20× magnification; hematoxylin and eosin stain; 14 tiles cut from one stomach biopsy slide; 300 × 300 pixels each.
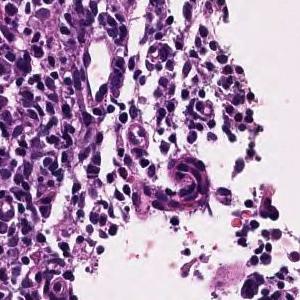
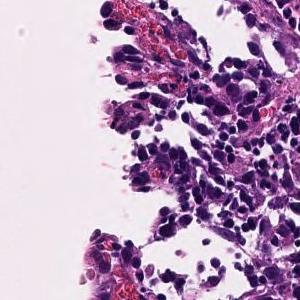
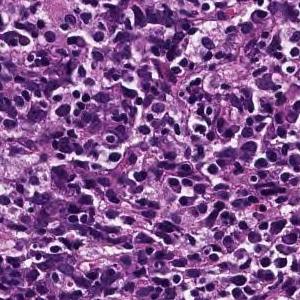
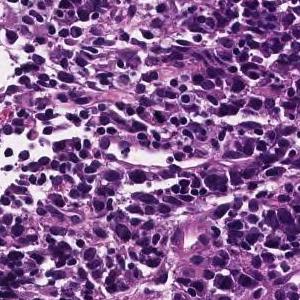
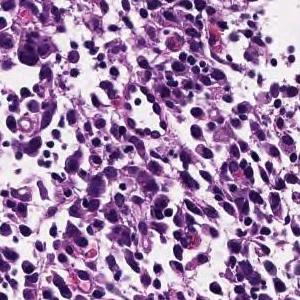
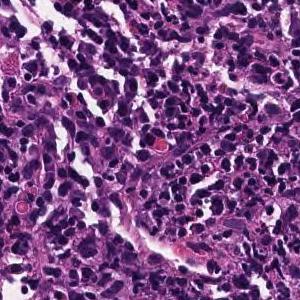
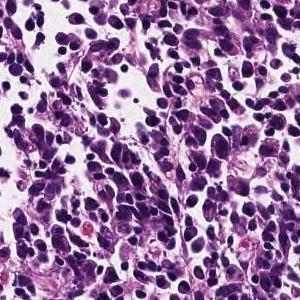
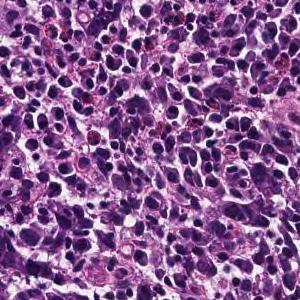
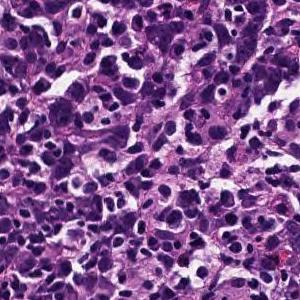
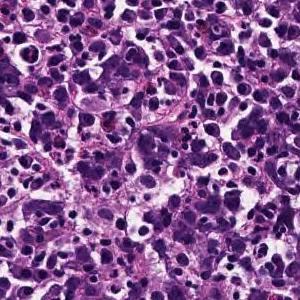
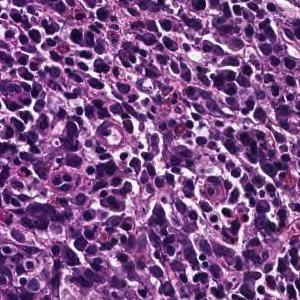
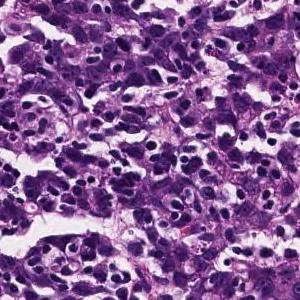
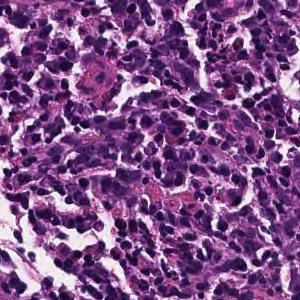
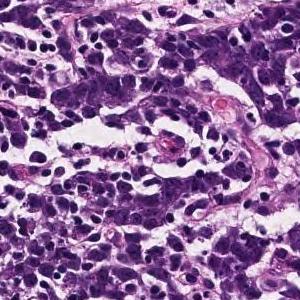
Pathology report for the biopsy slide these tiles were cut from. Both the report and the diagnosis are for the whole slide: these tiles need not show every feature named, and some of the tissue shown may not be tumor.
Tumor tissue consisting of cord-like or small, irregular glandular ducts fused and infiltrated is observed in the superficial epithelium. Poorly differentiated adenocarcinoma, non-solid type
The non-solid type named here is a Japanese Classification of Gastric Carcinoma category.
